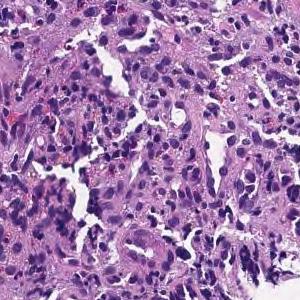
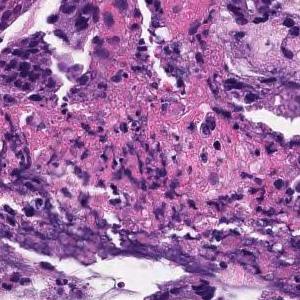
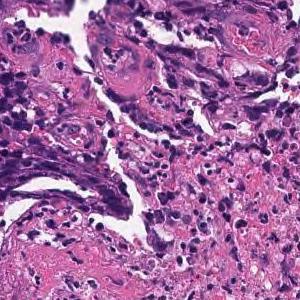
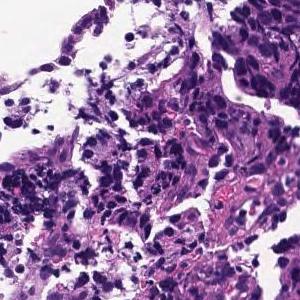
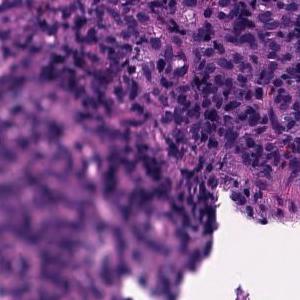
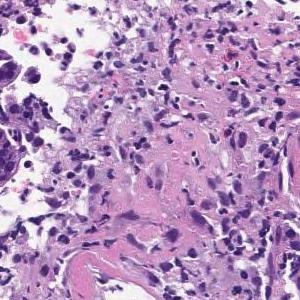
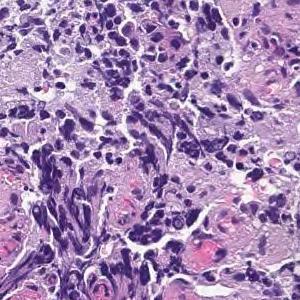
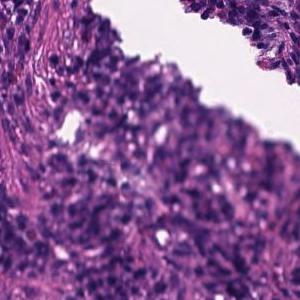
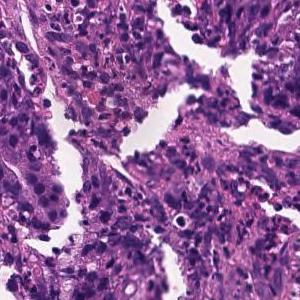
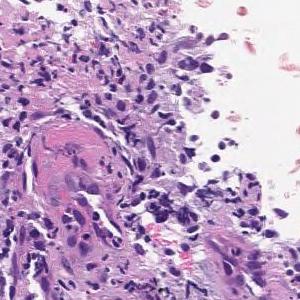
H&E, 10 patches cut from one gastric biopsy slide.
Report on the slide these tiles come from. The report and the diagnosis cover the entire slide, so not every feature they name need be visible here, and some tissue shown may not be tumor.
On the superficial epithelium, tumor tissue consisting of large irregular glandular ducts partially fused and infiltrated is observed. Well to moderately differentiated tubular adenocarcinoma (well differentiated tubular adenocarcinoma, moderately differentiated tubular adenocarcinoma)
Subtype: Well to moderately differentiated tubular adenocarcinoma.
